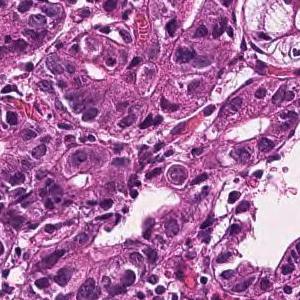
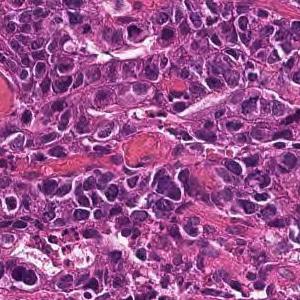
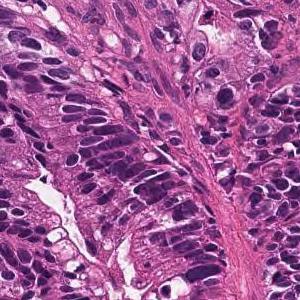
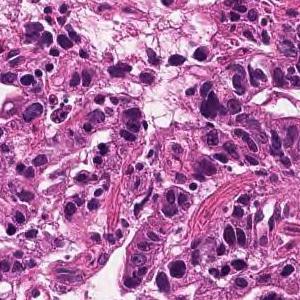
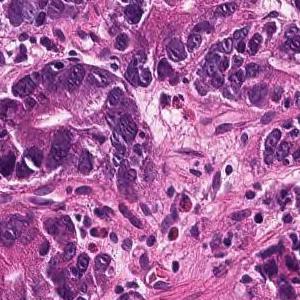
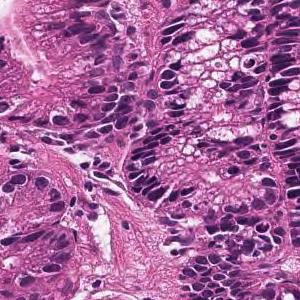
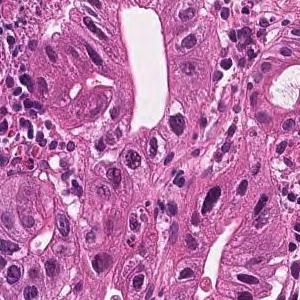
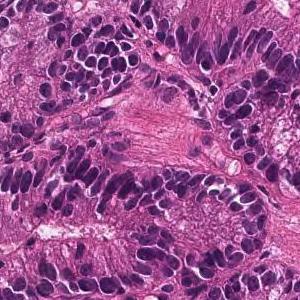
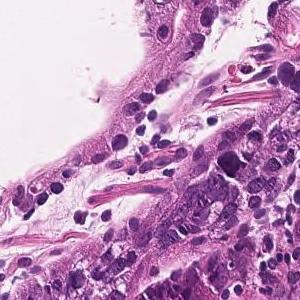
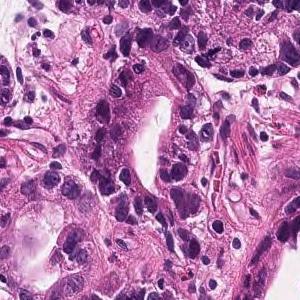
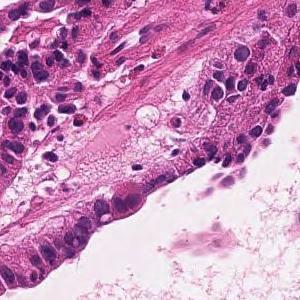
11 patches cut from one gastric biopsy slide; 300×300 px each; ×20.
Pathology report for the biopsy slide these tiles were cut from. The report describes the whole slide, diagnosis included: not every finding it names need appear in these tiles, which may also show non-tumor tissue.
In the superficial epithelium, tumor tissue that invades by forming medium-sized to small, irregular ducts is observed. moderately differentiated tubular adenocarcinoma.
